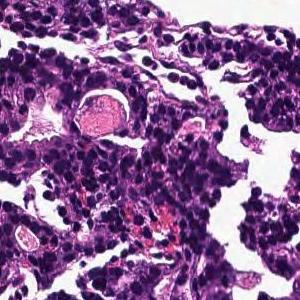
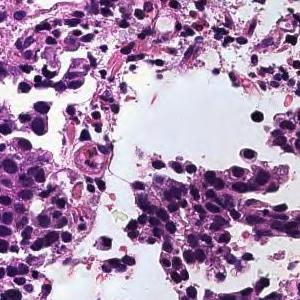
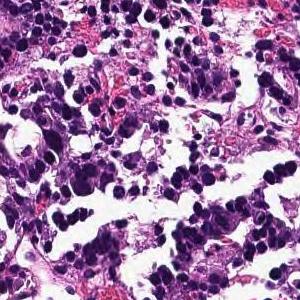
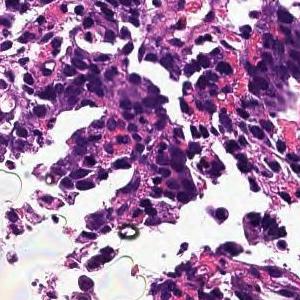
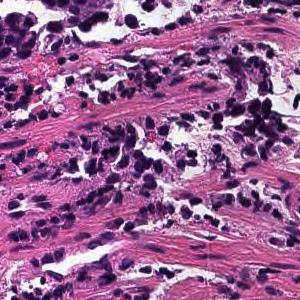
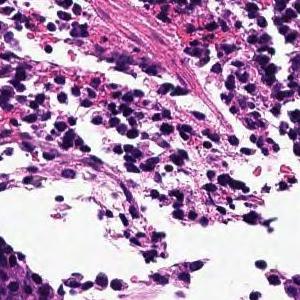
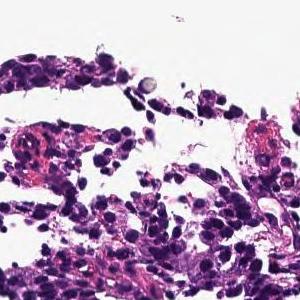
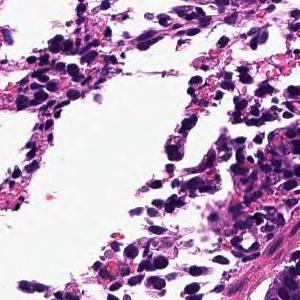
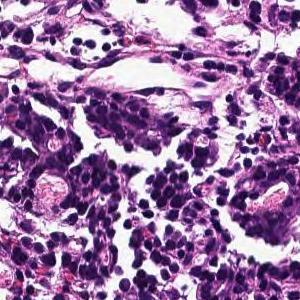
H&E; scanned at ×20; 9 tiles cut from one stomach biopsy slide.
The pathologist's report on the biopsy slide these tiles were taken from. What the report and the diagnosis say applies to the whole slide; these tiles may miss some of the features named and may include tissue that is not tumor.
In the superficial epithelium, tumor tissue that invades by forming medium-sized to small, irregular ducts is observed. moderately differentiated tubular adenocarcinoma.
